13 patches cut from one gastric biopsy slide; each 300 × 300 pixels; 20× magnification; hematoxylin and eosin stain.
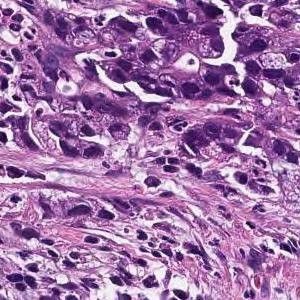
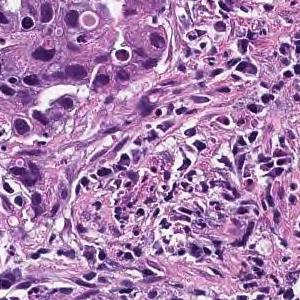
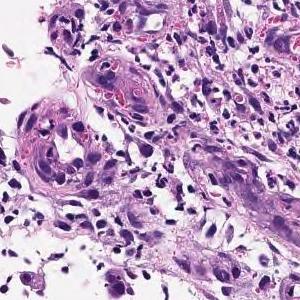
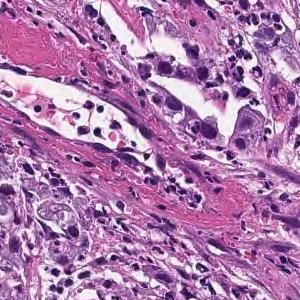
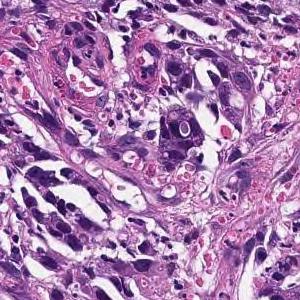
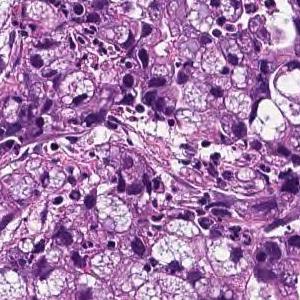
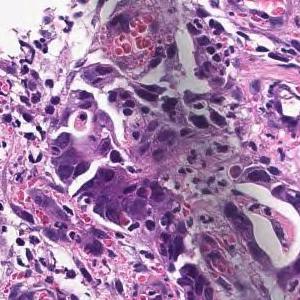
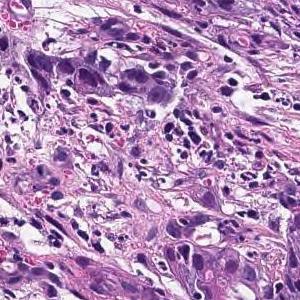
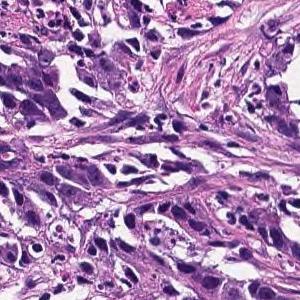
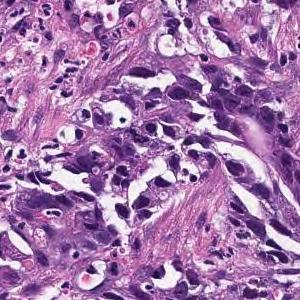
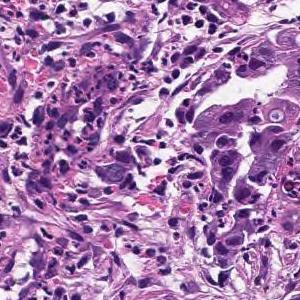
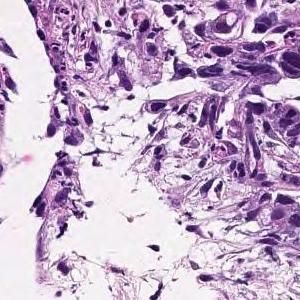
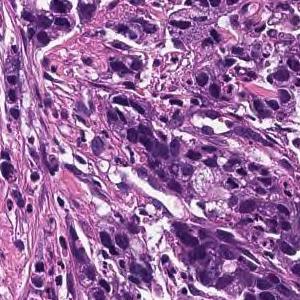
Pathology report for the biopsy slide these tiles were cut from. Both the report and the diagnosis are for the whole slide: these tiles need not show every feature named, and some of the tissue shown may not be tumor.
Medium to small, irregular glandular ducts are formed in the superficial epithelium, and in some cases, the glandular ducts are fused to show solid alveolar lesions and infiltrating tumor tissue is observed. Moderately to poorly differentiated adenocarcinoma.
